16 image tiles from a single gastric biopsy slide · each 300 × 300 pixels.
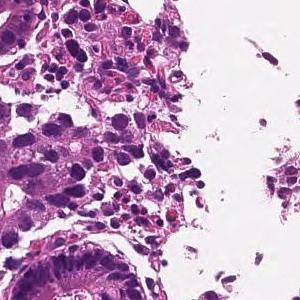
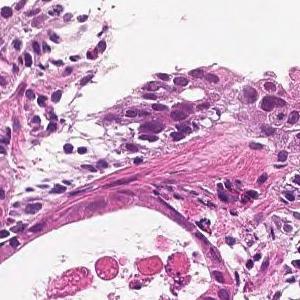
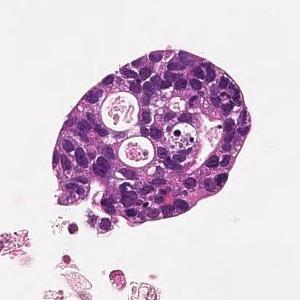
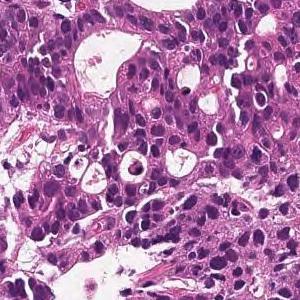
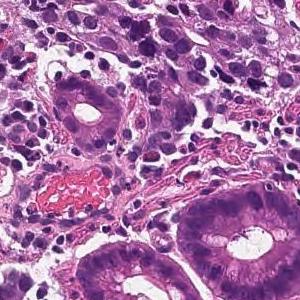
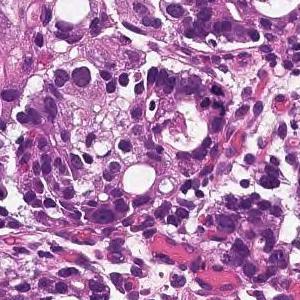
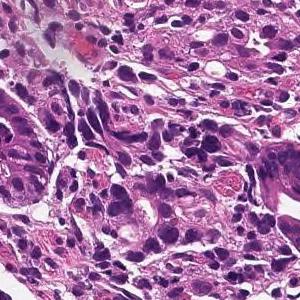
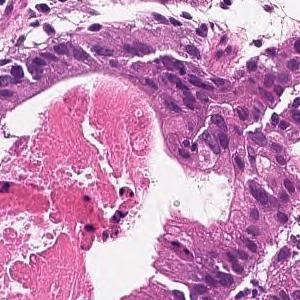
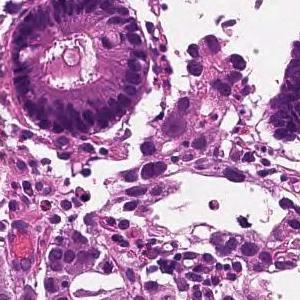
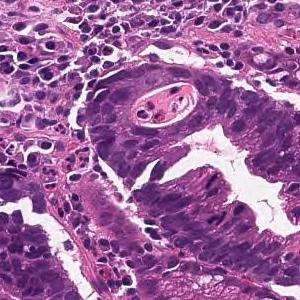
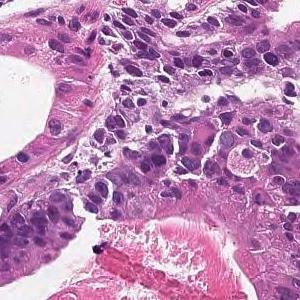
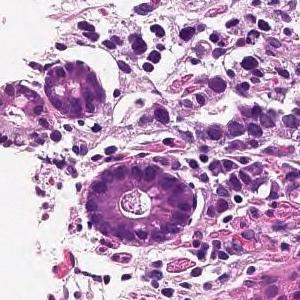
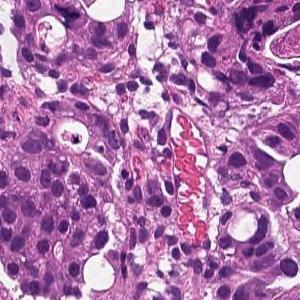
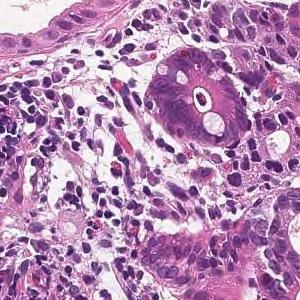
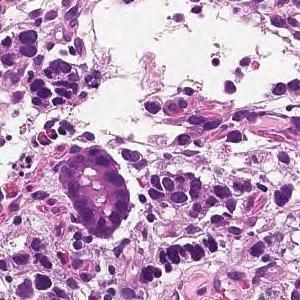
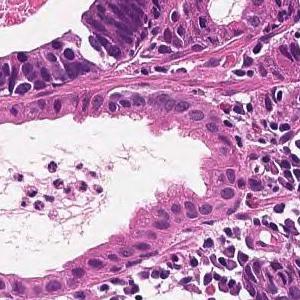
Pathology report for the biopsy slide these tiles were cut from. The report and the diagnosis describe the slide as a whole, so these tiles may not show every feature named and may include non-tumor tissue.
On the superficial epithelium, tumor tissue is found in which medium-sized irregular gland ducts fuse with each other and infiltrate. moderately differentiated tubular adenocarcinoma
